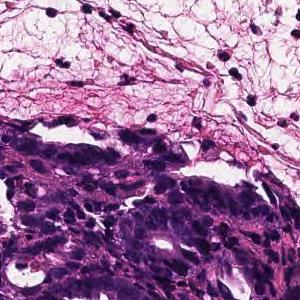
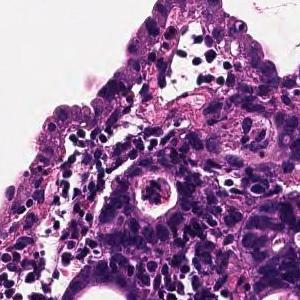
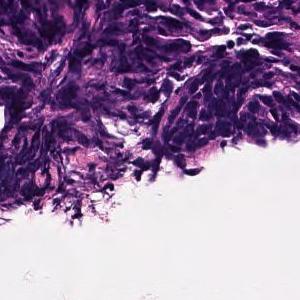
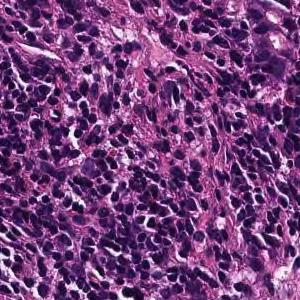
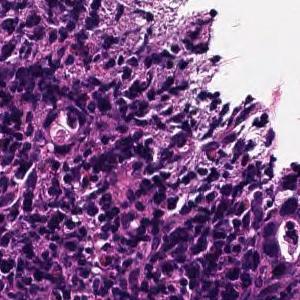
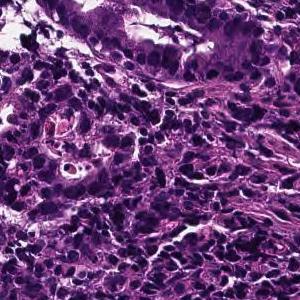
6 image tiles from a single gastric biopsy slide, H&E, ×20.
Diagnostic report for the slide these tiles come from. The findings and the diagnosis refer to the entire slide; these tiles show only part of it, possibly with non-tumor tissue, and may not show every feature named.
On the superficial epithelium, tumor tissue is found in which medium-sized irregular gland ducts fuse with each other and infiltrate. moderately differentiated tubular adenocarcinoma or Poorly differentiated adenocarcinoma, non-solid type
Tumor subtype: moderately to poorly differentiated adenocarcinoma.
The term "non-solid type" comes from the Japanese Classification of Gastric Carcinoma.
